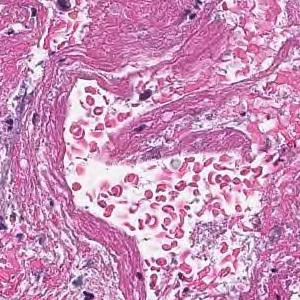
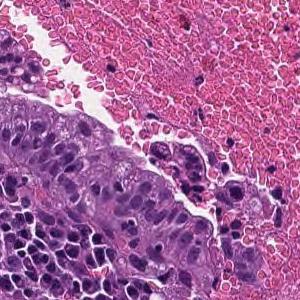
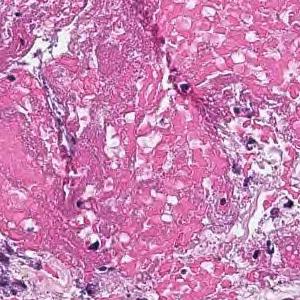
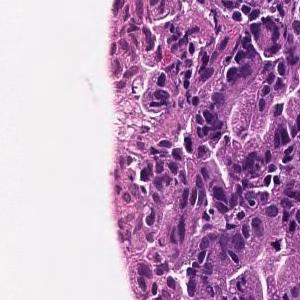
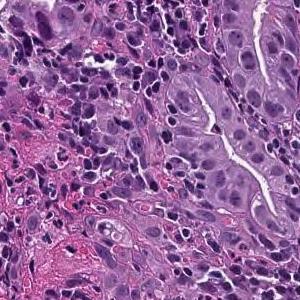
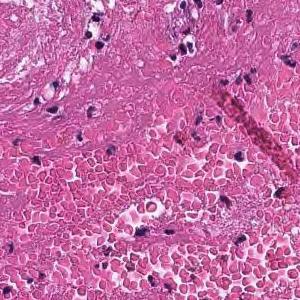
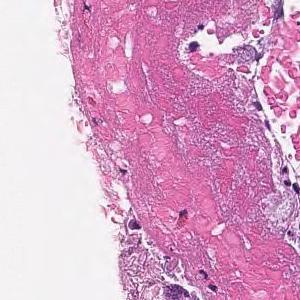
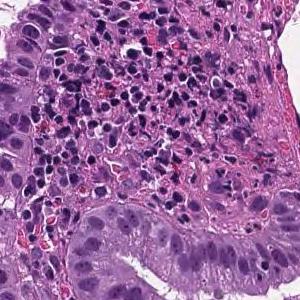
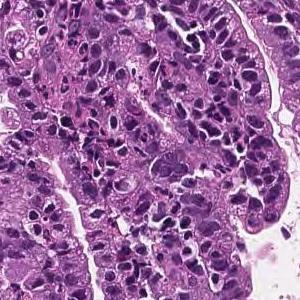
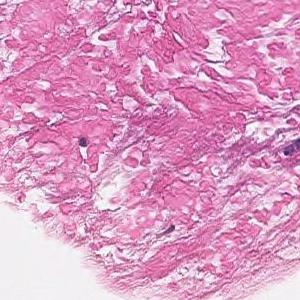
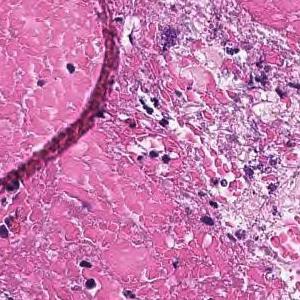
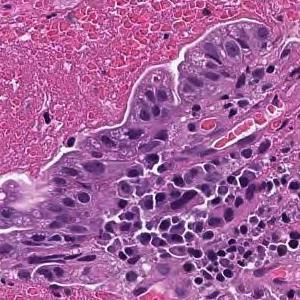
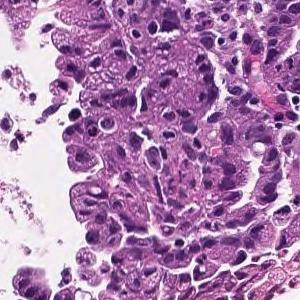
H&E; scanned at ×20; 13 image tiles from a single gastric biopsy slide; 300 × 300 pixels each.
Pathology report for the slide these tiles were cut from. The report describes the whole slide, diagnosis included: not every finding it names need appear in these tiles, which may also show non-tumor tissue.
On the superficial epithelium, tumor tissue that infiltrates by forming medium-sized papillary or small irregular ducts is observed. Papillary adenocarcinoma
